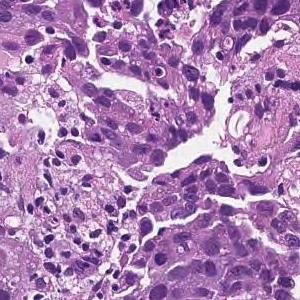
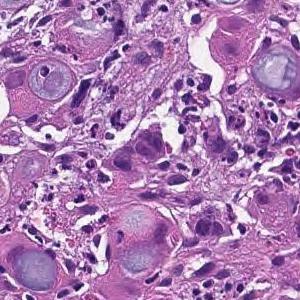
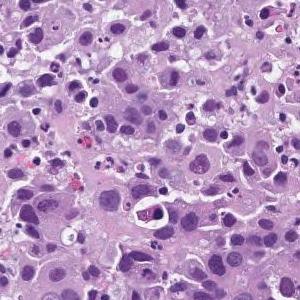
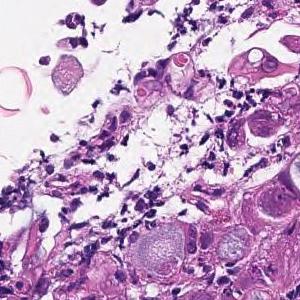
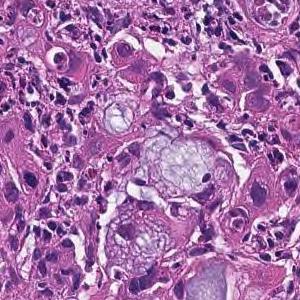
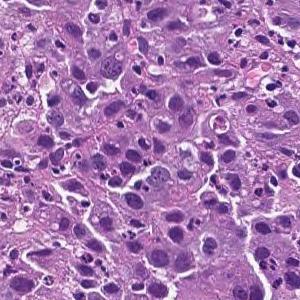
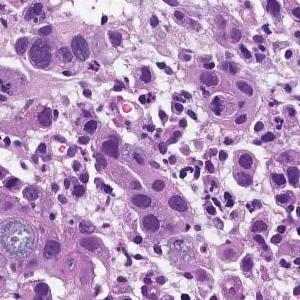
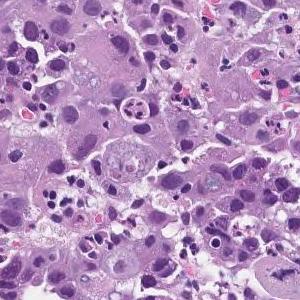
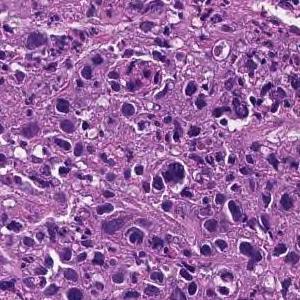
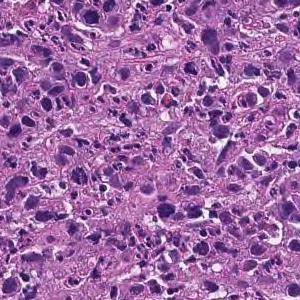
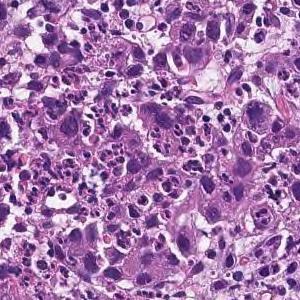
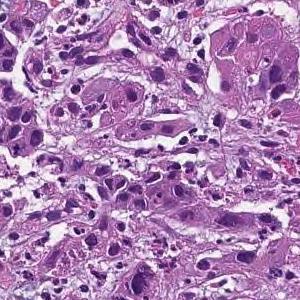
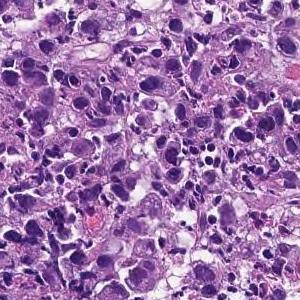
13 patches cut from one gastric biopsy slide, each 300 × 300 pixels, scanned at ×20.
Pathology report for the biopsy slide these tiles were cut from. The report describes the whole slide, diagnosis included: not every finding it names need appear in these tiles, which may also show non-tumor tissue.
The superficial epithelium shows a large sheet-like shape, and some tumor tissue infiltrates with small irregular ducts. Poorly differentiated adenocarcinoma, solid-type
Histological subtype: Poorly differentiated adenocarcinoma, solid type (Japanese Classification of Gastric Carcinoma). The WHO 2019 equivalent is tubular adenocarcinoma, poorly differentiated.
